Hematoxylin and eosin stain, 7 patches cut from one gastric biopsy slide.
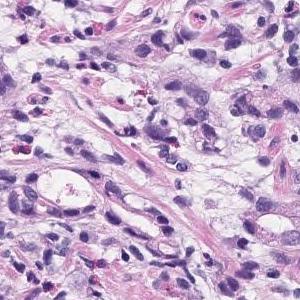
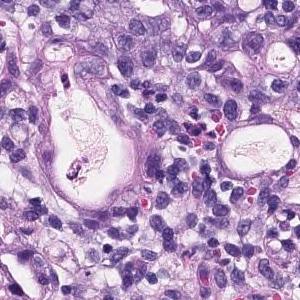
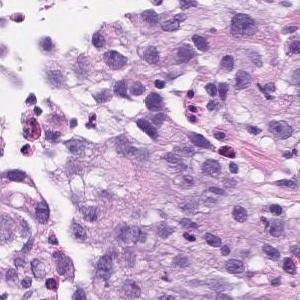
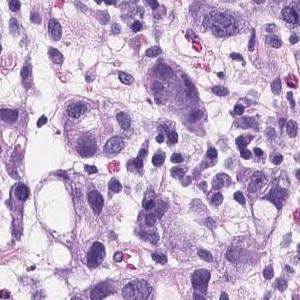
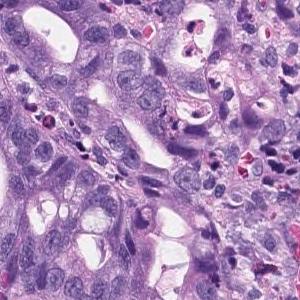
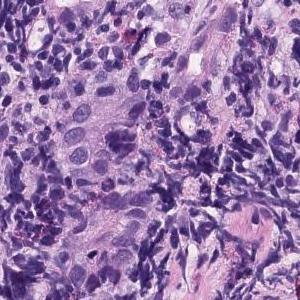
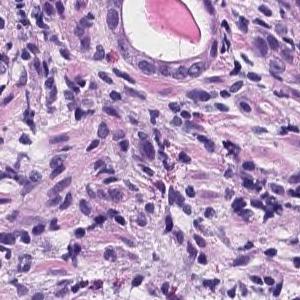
Pathology report for the biopsy slide these tiles were cut from. The report and the diagnosis cover the entire slide, so not every feature they name need be visible here, and some tissue shown may not be tumor.
There are atypical l cells with atypical nuclei forming cord-like or irregular atypical ducts from solidity and proliferating in a comprehensive manner. Poorly differentiated adenocarcinoma, Moderately differentiated adenocarcinoma (poorly differentiated adenocarcinoma, solid type moderately differentiated tubular adenocarcinoma)
Classified as moderately to poorly differentiated adenocarcinoma.
The term "solid type" comes from the Japanese Classification of Gastric Carcinoma; the WHO 2019 equivalent is tubular adenocarcinoma, poorly differentiated.
